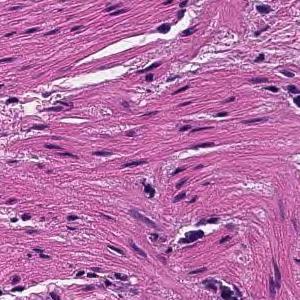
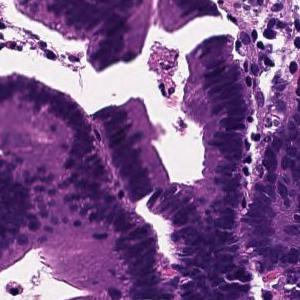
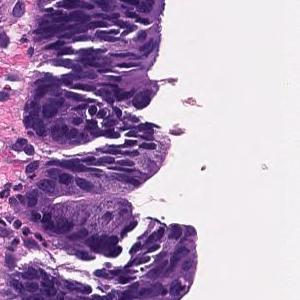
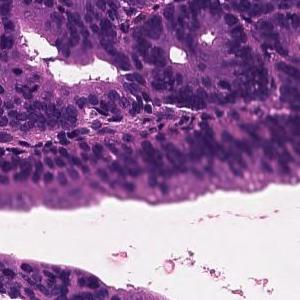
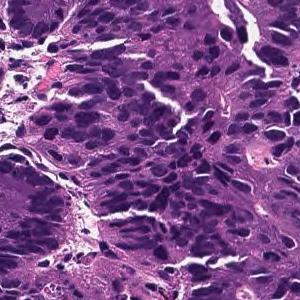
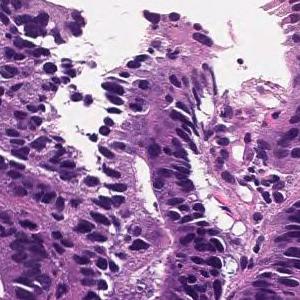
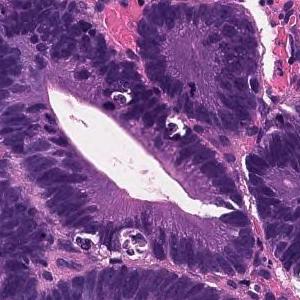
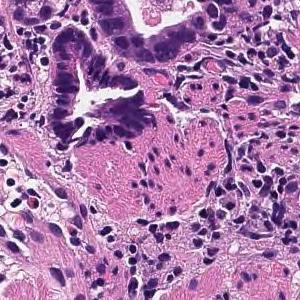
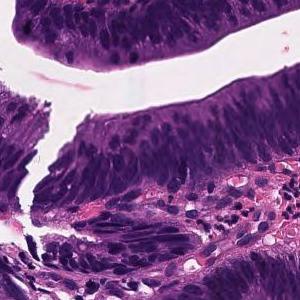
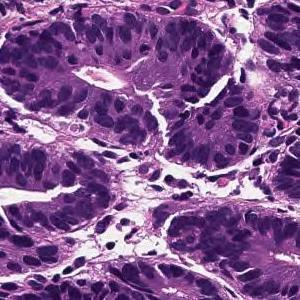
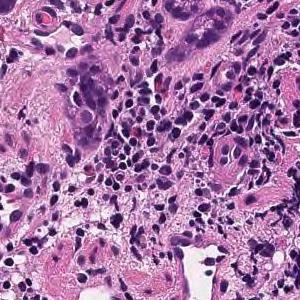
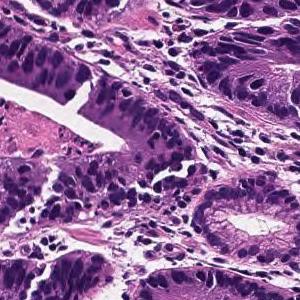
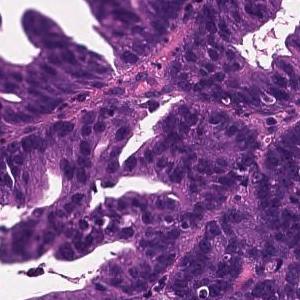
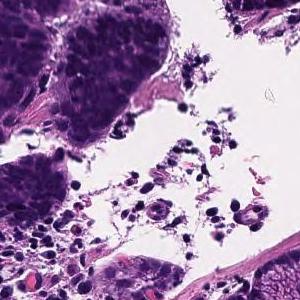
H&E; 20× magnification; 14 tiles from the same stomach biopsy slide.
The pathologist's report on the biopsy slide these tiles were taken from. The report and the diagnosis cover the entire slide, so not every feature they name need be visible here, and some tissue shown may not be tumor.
Tumor tissue consisting of large papillary structures is found in the superficial epithelium. Papillary adenocarcinoma.
